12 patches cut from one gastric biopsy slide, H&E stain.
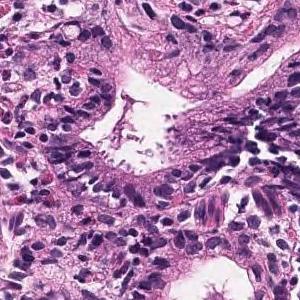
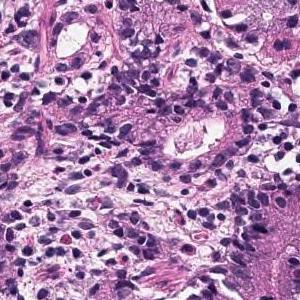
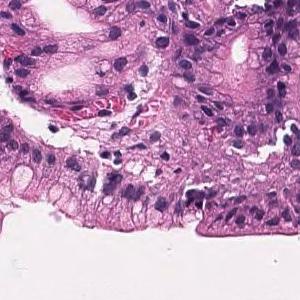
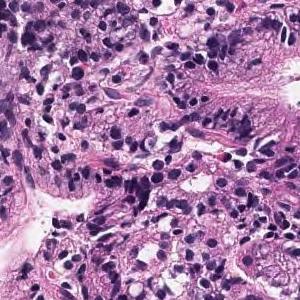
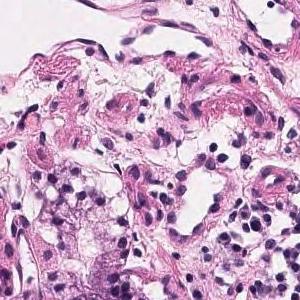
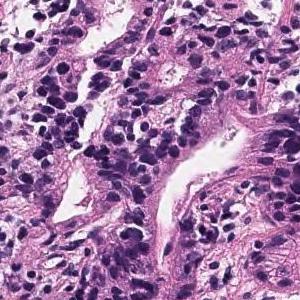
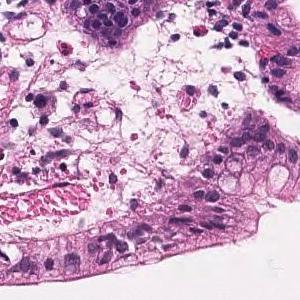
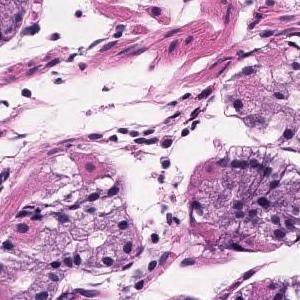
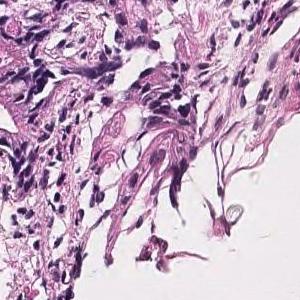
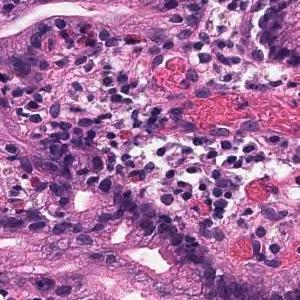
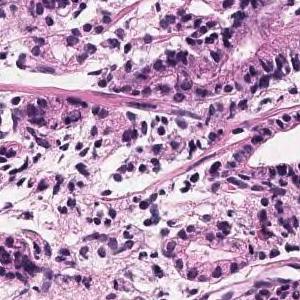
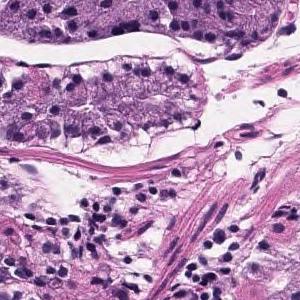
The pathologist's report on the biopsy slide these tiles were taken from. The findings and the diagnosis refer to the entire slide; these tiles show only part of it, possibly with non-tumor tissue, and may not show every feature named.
Tumor tissue that grows and grows is observed, showing a medium-sized round or irregular duct. moderately differentiated tubular adenocarcinoma
